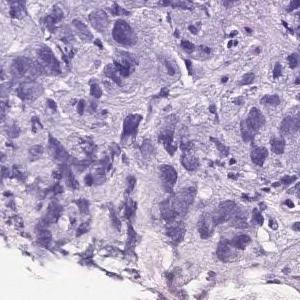
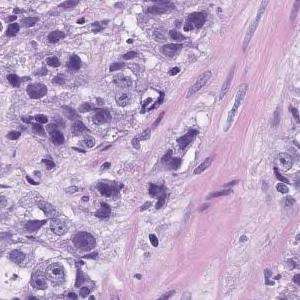
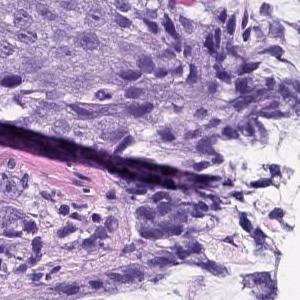
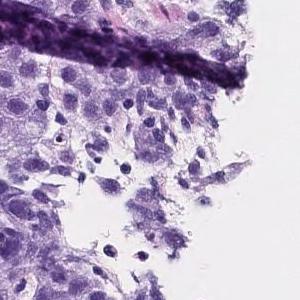
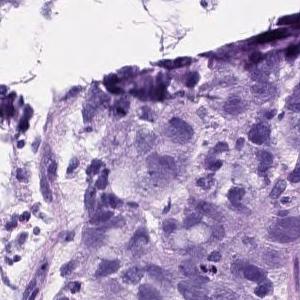
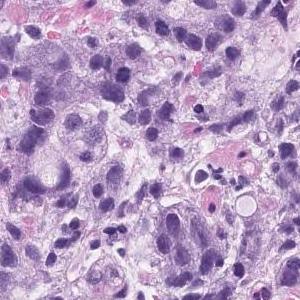
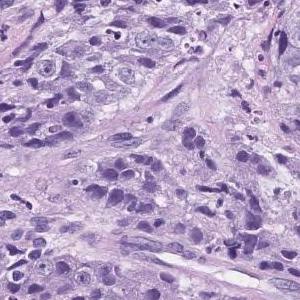
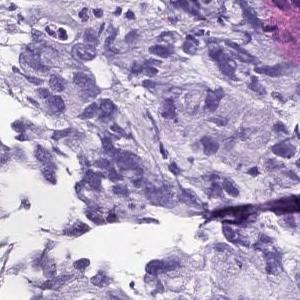
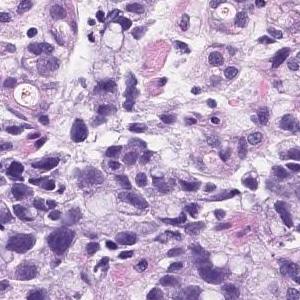
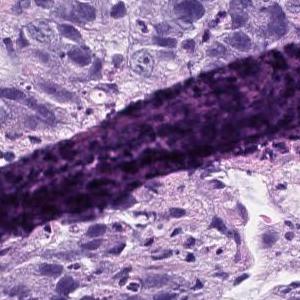
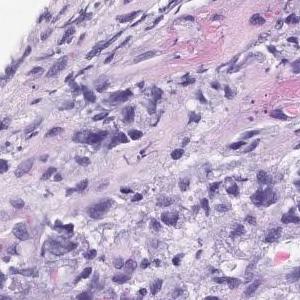
11 tiles cut from one stomach biopsy slide; 300 × 300 pixels each; H&E.
Report on the slide these tiles come from. The report and the diagnosis cover the entire slide, so not every feature they name need be visible here, and some tissue shown may not be tumor.
Atypical l cells with atypical nuclei forming solid vesicles or small irregular atypical ducts that proliferate in a complex manner. poorly differentiated adenocarcinoma, solid type, moderately differentiated tubular adenocarcinoma
"Solid type" is a category of the Japanese Classification of Gastric Carcinoma; in the WHO 2019 classification it is tubular adenocarcinoma, poorly differentiated.
